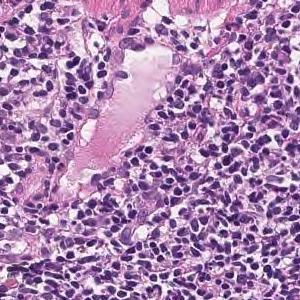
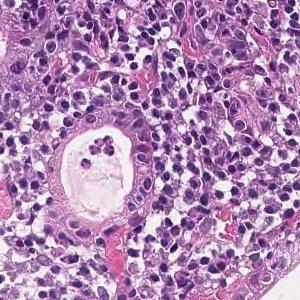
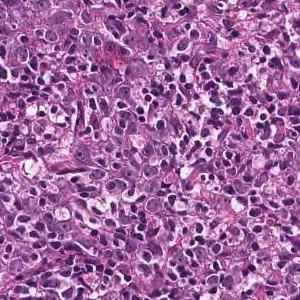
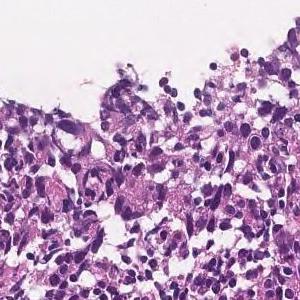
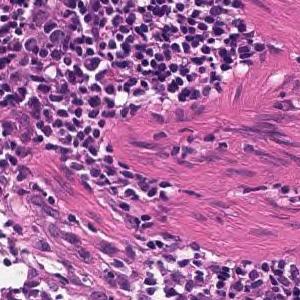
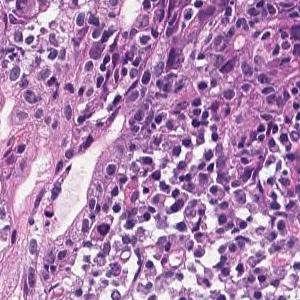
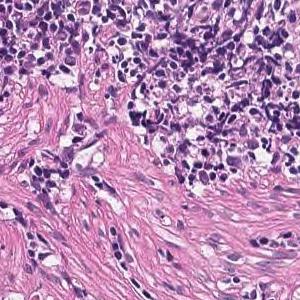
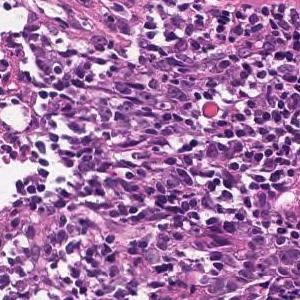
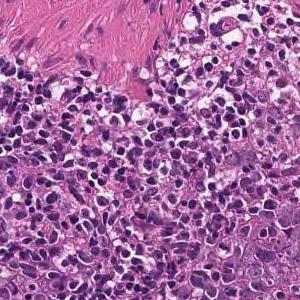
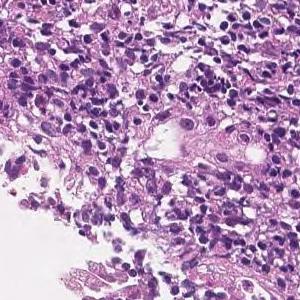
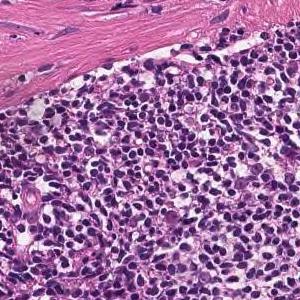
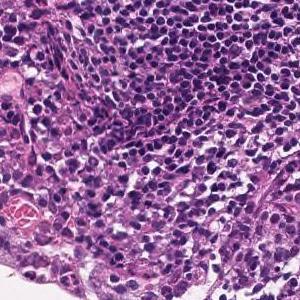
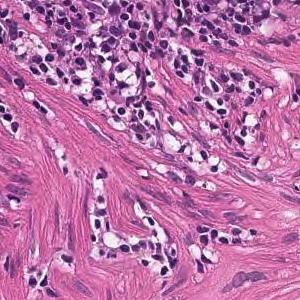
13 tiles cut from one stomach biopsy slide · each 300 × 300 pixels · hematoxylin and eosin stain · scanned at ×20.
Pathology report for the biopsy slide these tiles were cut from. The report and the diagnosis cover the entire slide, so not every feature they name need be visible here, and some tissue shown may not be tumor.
Tumor tissue consisting of cord-like or small, irregular glandular ducts fused and infiltrated is observed in the superficial epithelium. Poorly differentiated adenocarcinoma, non-solid type
"Non-solid type" is a category of the Japanese Classification of Gastric Carcinoma.
